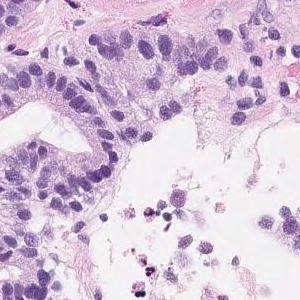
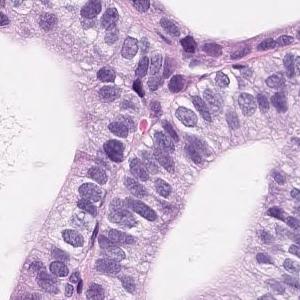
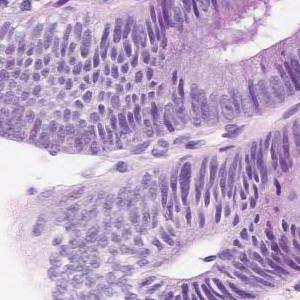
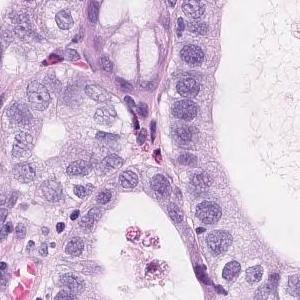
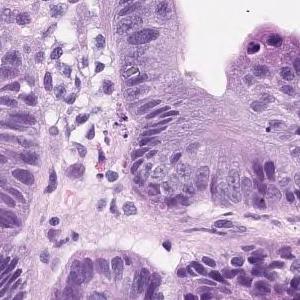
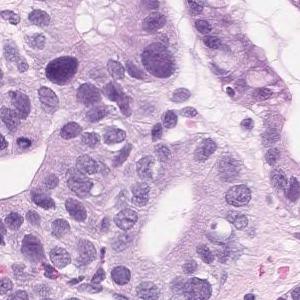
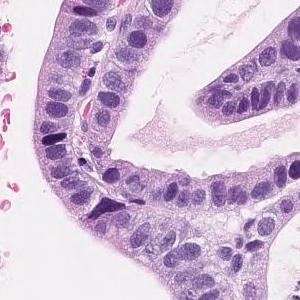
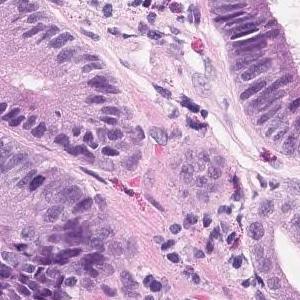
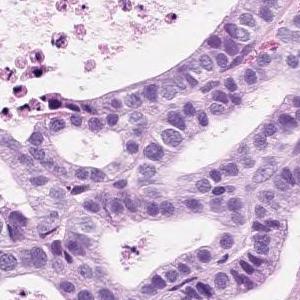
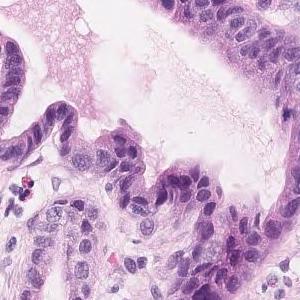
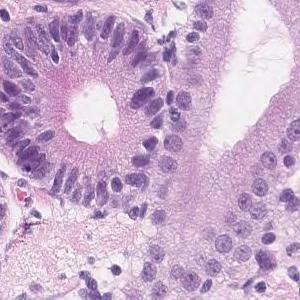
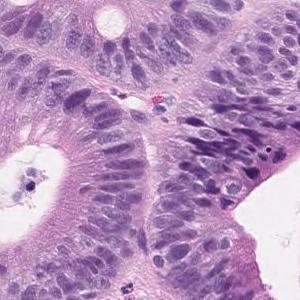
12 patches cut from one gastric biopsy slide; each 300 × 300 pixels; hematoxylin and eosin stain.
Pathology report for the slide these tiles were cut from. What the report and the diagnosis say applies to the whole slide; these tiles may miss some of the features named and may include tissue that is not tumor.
Short atypical epithelium with swelling of the nucleus shows proliferating, large and small irregular ductal structures. Well to moderately differentiated tubular adenocarcinoma (well differentiated tubular adenocarcinoma-moderately differentiated tubular adenocarcinoma)
Tumor subtype: well to moderately differentiated tubular adenocarcinoma.
